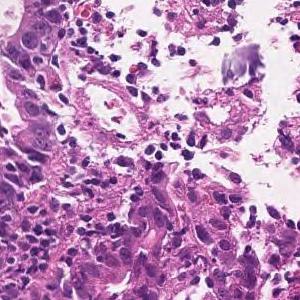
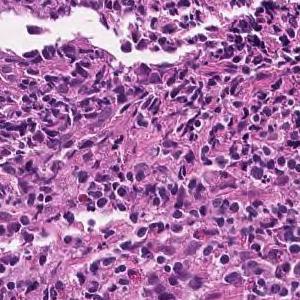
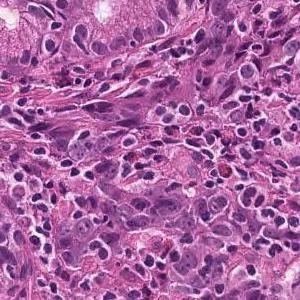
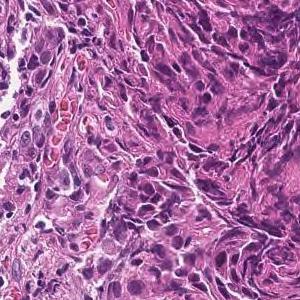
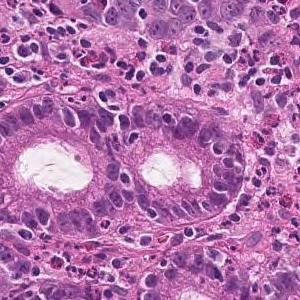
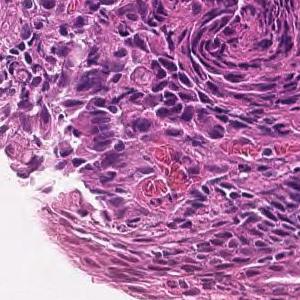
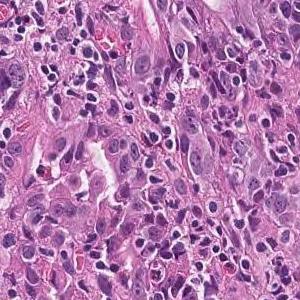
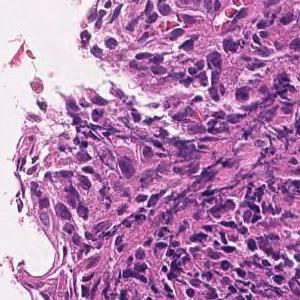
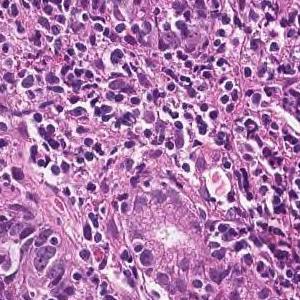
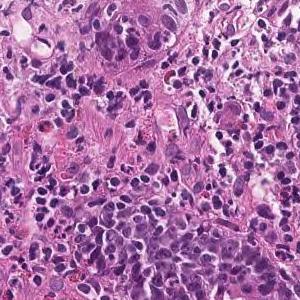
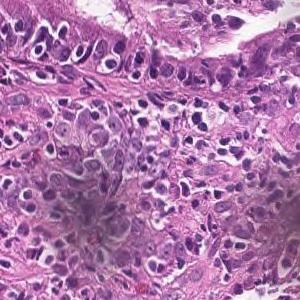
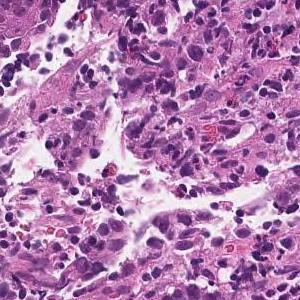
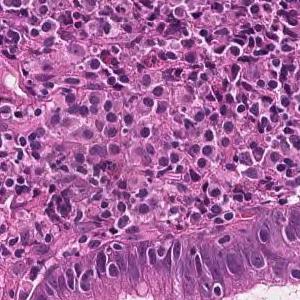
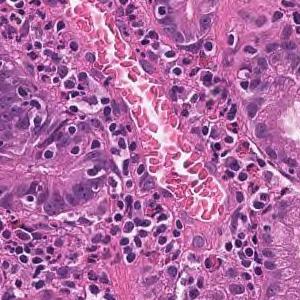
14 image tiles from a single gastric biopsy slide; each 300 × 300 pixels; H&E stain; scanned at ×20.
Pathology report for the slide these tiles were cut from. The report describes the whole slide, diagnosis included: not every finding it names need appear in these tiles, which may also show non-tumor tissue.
Tumor tissue consisting of medium-sized, cord-like or irregular glandular infiltration is observed in the superficial epithelium. Poorly differentiated adenocarcinoma, non-solid type or moderately differentiated tubular adenocarcinoma
The dataset labels this slide poorly differentiated adenocarcinoma, non-solid type.
"Non-solid type" is a category of the Japanese Classification of Gastric Carcinoma.
